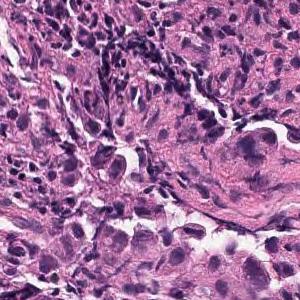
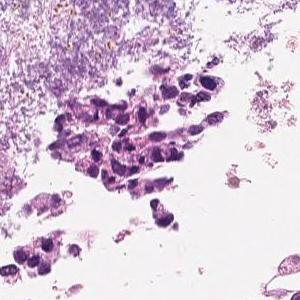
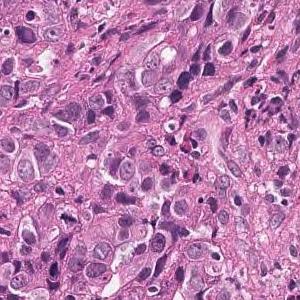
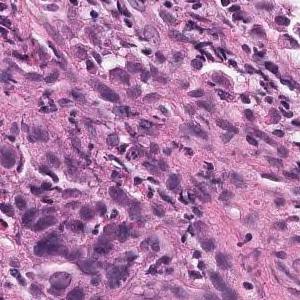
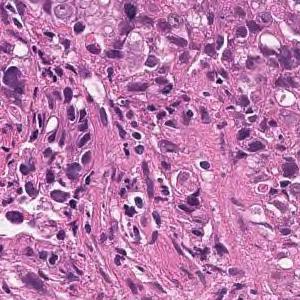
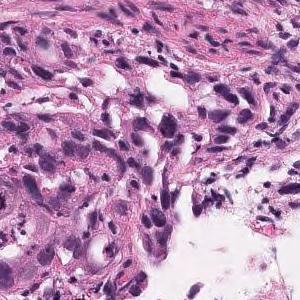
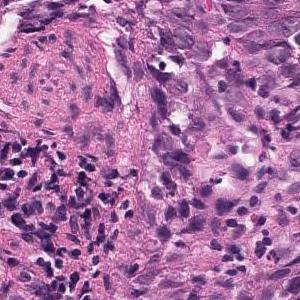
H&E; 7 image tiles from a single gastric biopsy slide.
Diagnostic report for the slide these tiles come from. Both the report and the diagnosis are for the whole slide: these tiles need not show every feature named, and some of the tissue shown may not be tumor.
Tumor tissue that infiltrates and proliferates with alveolar or cord-like structures with small glandular cavities in the superficial to submucosal layers is observed. moderately differentiated tubular adenocarcinoma
